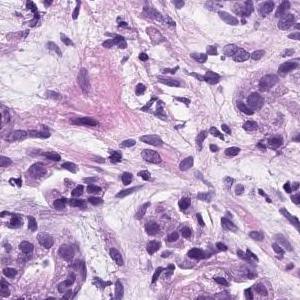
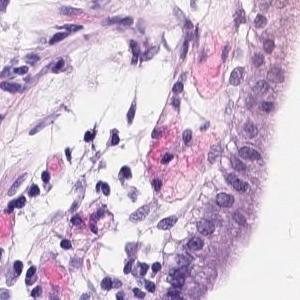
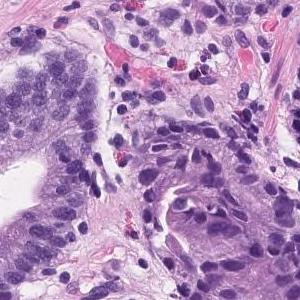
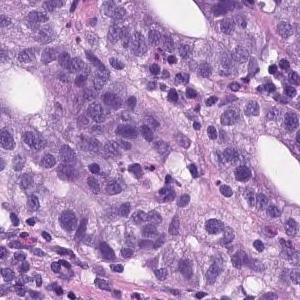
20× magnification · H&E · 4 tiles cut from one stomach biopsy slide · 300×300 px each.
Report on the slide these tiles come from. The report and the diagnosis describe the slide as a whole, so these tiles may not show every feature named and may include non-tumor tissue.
Tumor tissue consisting of medium-sized and irregular ducts is observed infiltrating in the superficial epithelium. Tumor cells are highly columnar, with nuclei aligned basolaterally and polarized. Well differentiated tubular adenocarcinoma.
